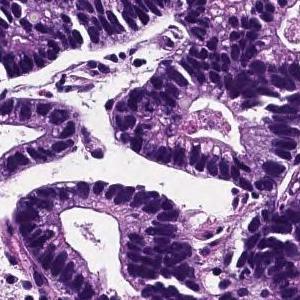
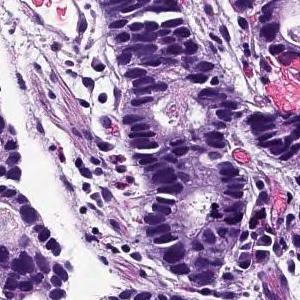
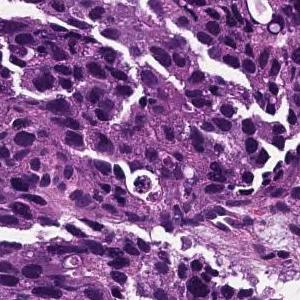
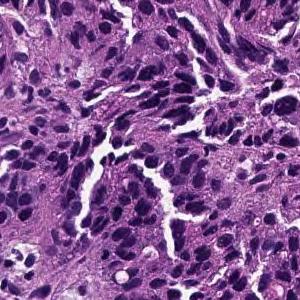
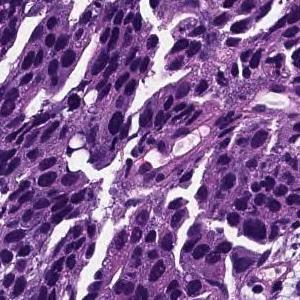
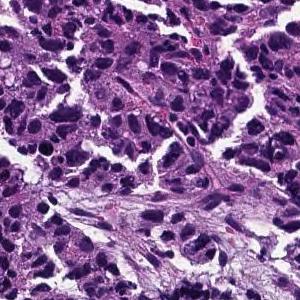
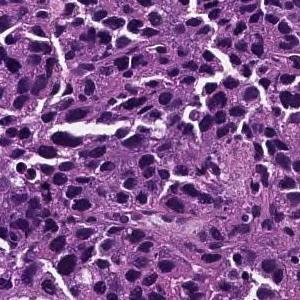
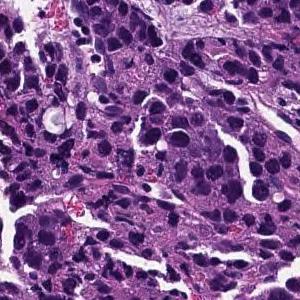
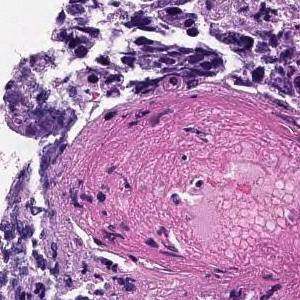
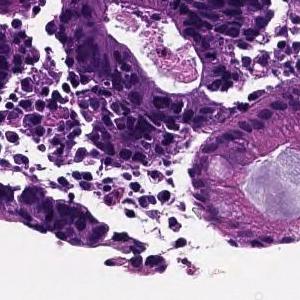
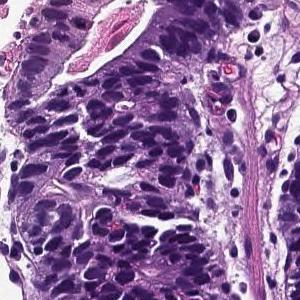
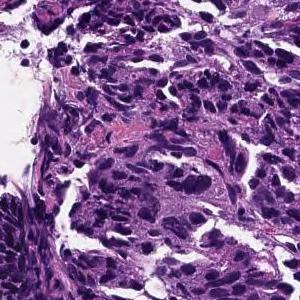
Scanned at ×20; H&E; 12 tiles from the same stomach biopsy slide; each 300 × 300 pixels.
Pathology report for the biopsy slide these tiles were cut from. The report and the diagnosis describe the slide as a whole, so these tiles may not show every feature named and may include non-tumor tissue.
From the superficial epithelium to the muscularis mucosae, tumor tissue consisting of medium-sized and irregular glandular ducts infiltrating is observed. Well differentiated tubular adenocarcinoma
